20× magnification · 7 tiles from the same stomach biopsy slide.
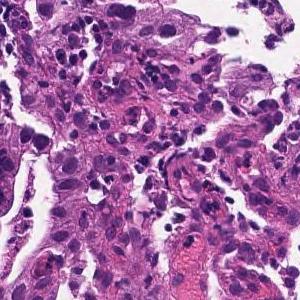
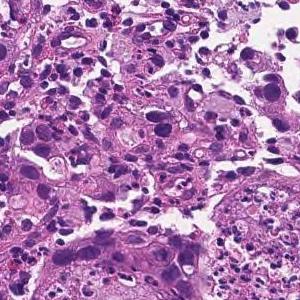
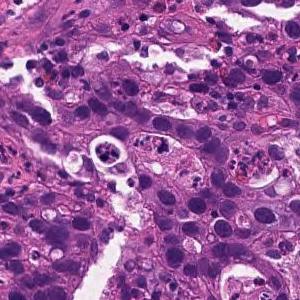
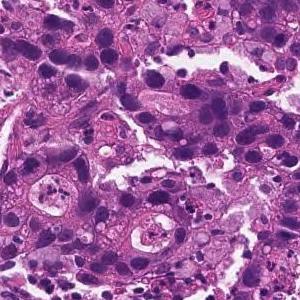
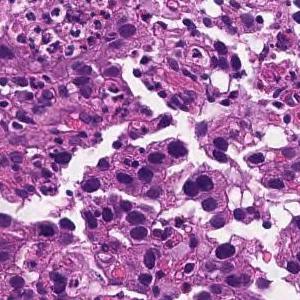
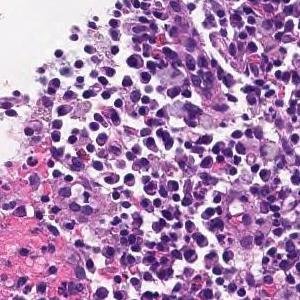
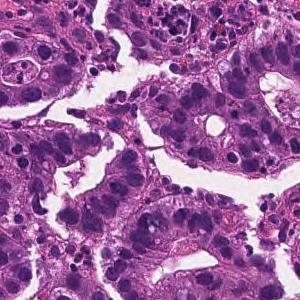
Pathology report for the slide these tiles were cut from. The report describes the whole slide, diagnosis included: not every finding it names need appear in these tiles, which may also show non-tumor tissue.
Medium to small, irregular glandular ducts are formed in the superficial epithelium, and in some cases, the glandular ducts are fused to show solid alveolar lesions and infiltrating tumor tissue is observed. Moderately to poorly differentiated adenocarcinoma.
